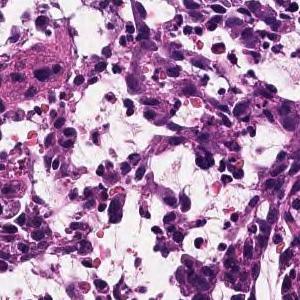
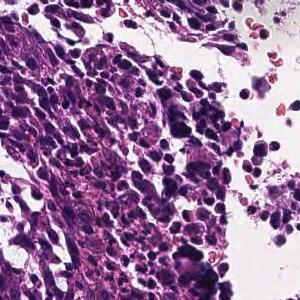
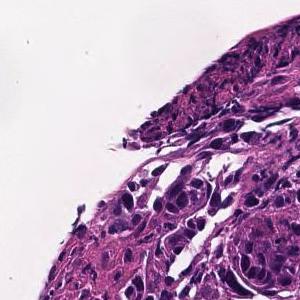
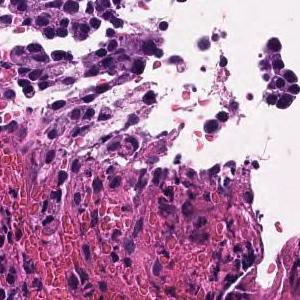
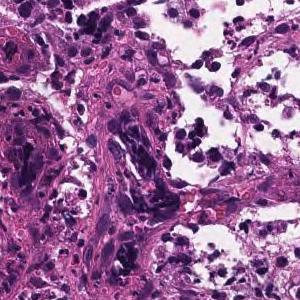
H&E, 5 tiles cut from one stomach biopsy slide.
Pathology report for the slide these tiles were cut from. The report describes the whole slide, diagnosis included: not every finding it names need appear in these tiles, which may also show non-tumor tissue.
The superficial epithelium shows a large sheet-like shape, and some tumor tissue infiltrates with small irregular ducts. Poorly differentiated adenocarcinoma, solid-type
Histological subtype: Poorly differentiated adenocarcinoma, solid type. This name comes from the Japanese Classification of Gastric Carcinoma; the WHO 2019 classification calls it tubular adenocarcinoma, poorly differentiated.
